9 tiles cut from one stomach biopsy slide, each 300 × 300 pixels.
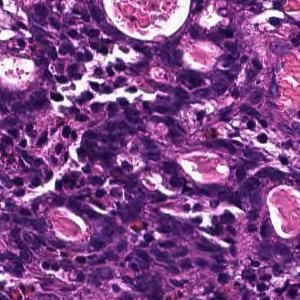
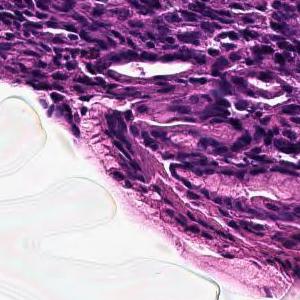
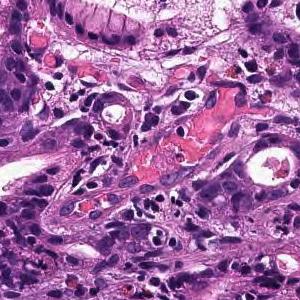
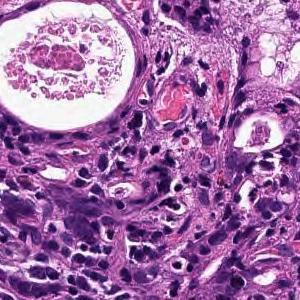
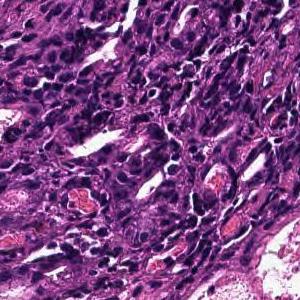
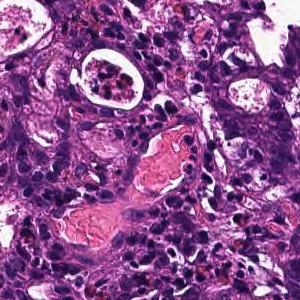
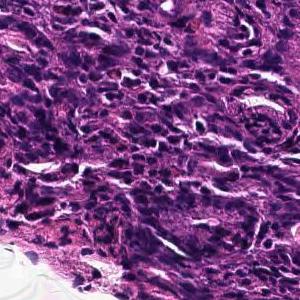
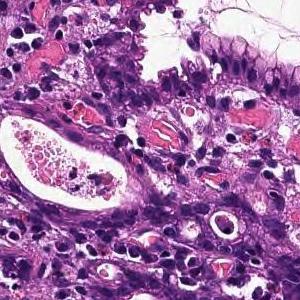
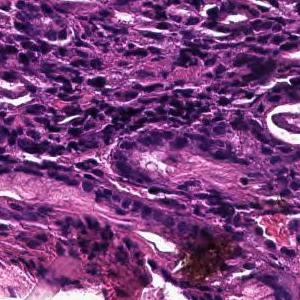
Diagnostic report for the slide these tiles come from. The report describes the whole slide, diagnosis included: not every finding it names need appear in these tiles, which may also show non-tumor tissue.
In the superficial epithelium, tumor tissue that invades by forming medium-sized to small, irregular ducts is observed. moderately differentiated tubular adenocarcinoma.
